9 tiles cut from one stomach biopsy slide; 300 × 300 pixels each; hematoxylin and eosin stain; ×20.
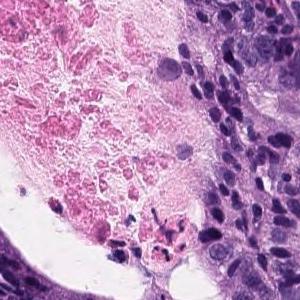
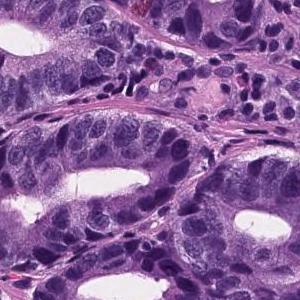
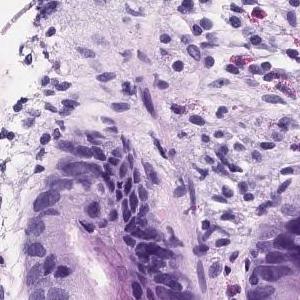
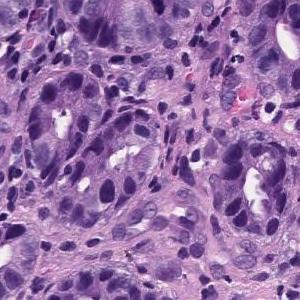
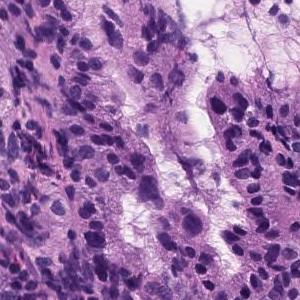
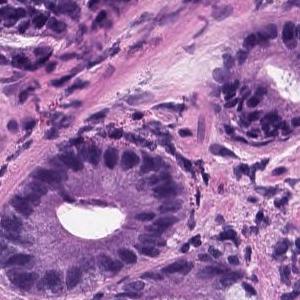
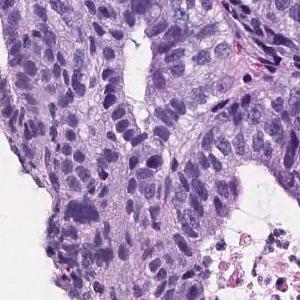
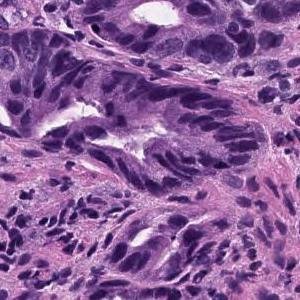
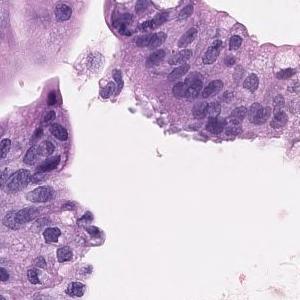
Diagnostic report for the slide these tiles come from. The findings and the diagnosis refer to the entire slide; these tiles show only part of it, possibly with non-tumor tissue, and may not show every feature named.
Tumor tissue consisting of medium-sized and irregular ducts is observed infiltrating in the superficial epithelium. Tumor cells are highly columnar, with nuclei aligned basolaterally and polarized. Well differentiated tubular adenocarcinoma.
